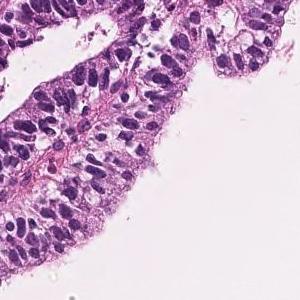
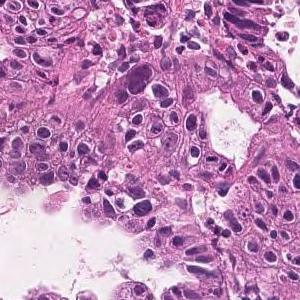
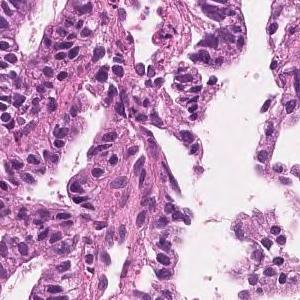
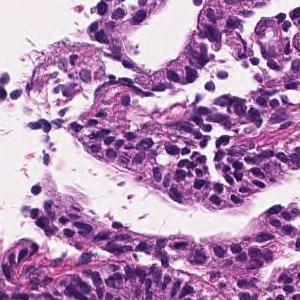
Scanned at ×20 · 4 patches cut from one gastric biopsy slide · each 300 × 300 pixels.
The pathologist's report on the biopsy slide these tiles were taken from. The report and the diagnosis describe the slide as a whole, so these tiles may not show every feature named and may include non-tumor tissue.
Tumor cells are large, highly columnar, large club-shaped nuclei, and are associated with chromatin aggregation. Papillary adenocarcinoma.
